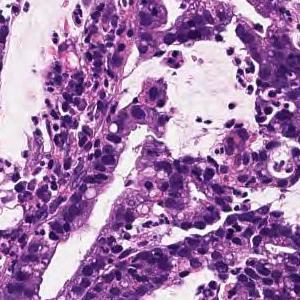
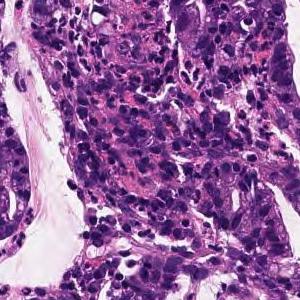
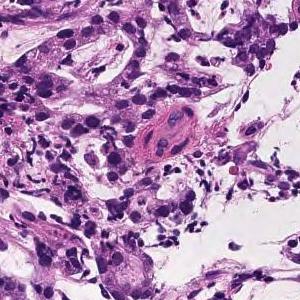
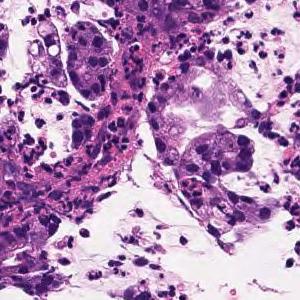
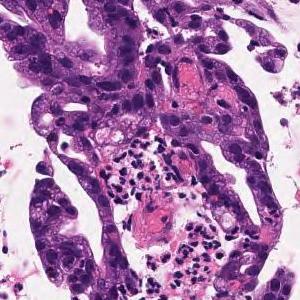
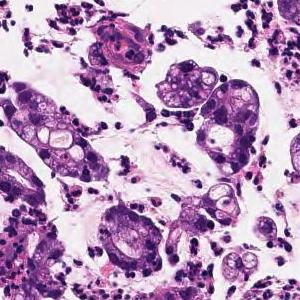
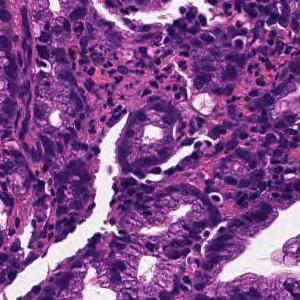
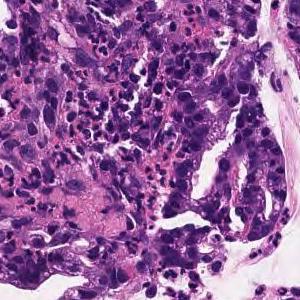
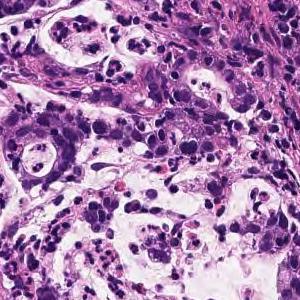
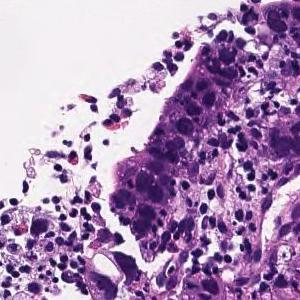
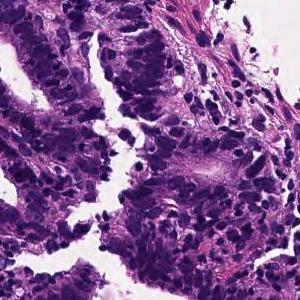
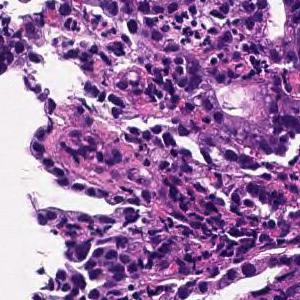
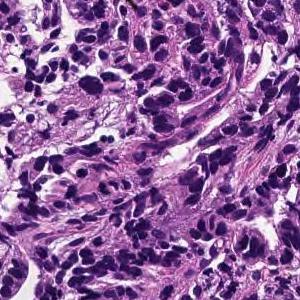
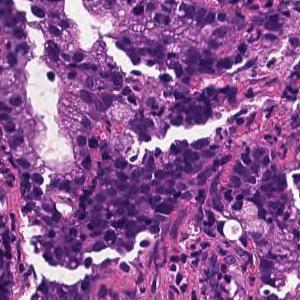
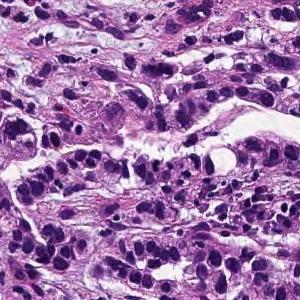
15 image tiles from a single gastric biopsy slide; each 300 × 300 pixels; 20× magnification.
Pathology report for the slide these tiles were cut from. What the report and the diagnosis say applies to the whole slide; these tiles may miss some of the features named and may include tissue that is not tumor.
On the superficial epithelium, tumor tissue consisting of large, irregular glandular ducts partially fused and infiltrated is observed. Well to moderately differentiated tubular adenocarcinoma (well differentiated tubular adenocarcinoma, moderately differentiated tubular adenocarcinoma)
Tumor subtype: well to moderately differentiated tubular adenocarcinoma.
